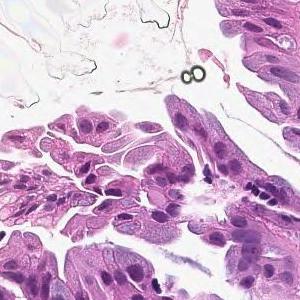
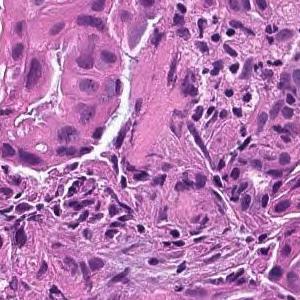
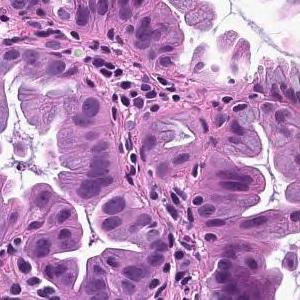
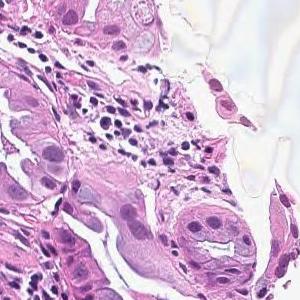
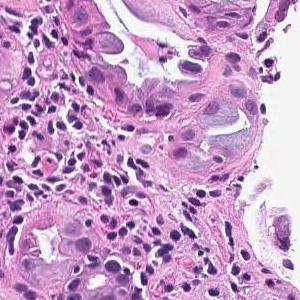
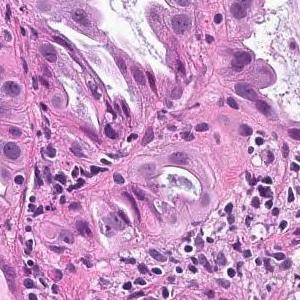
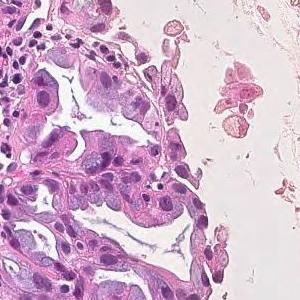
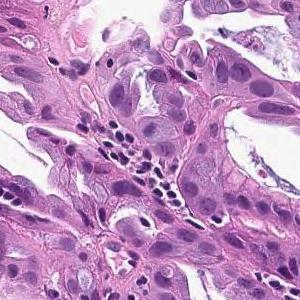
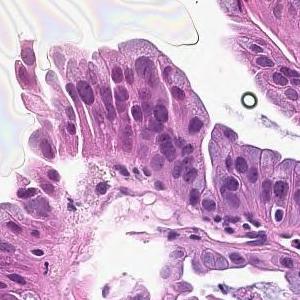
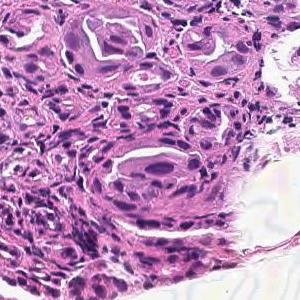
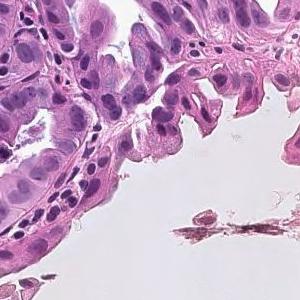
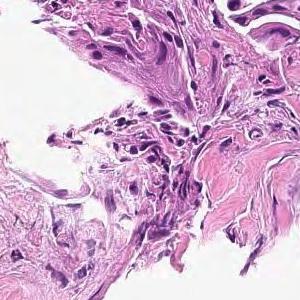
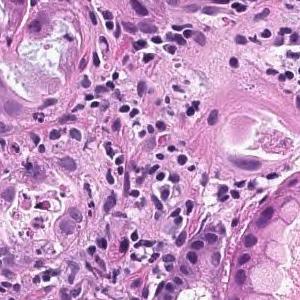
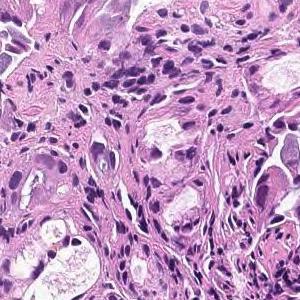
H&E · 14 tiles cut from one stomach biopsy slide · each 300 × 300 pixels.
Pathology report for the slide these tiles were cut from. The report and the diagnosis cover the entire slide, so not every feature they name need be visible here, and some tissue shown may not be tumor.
From the superficial epithelium to the muscularis mucosae, tumor tissue consisting of medium-sized and irregular glandular ducts infiltrating is observed. Well differentiated tubular adenocarcinoma
